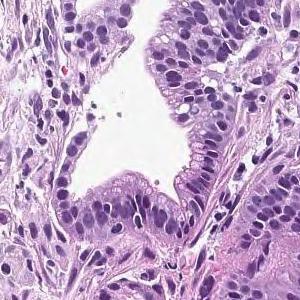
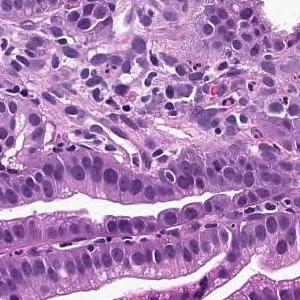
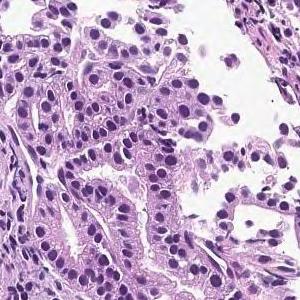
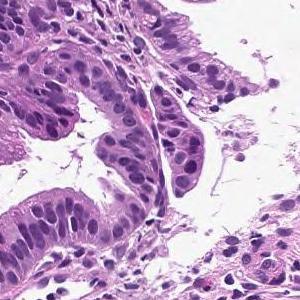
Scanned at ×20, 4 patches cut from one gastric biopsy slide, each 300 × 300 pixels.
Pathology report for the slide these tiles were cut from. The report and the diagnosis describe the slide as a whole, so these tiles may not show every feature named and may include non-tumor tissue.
On the superficial epithelium, tumor tissue that infiltrates by forming medium-sized papillary or small irregular ducts is observed. Papillary adenocarcinoma
